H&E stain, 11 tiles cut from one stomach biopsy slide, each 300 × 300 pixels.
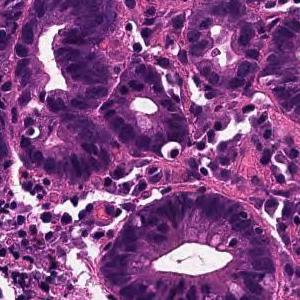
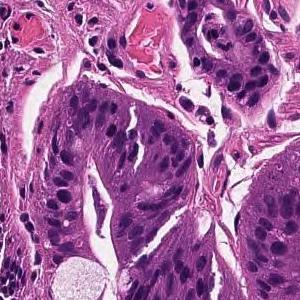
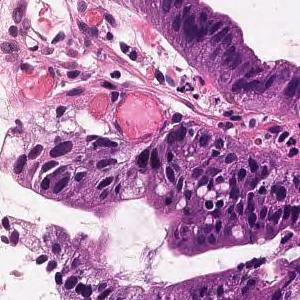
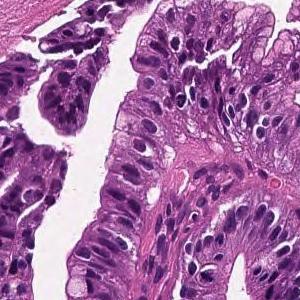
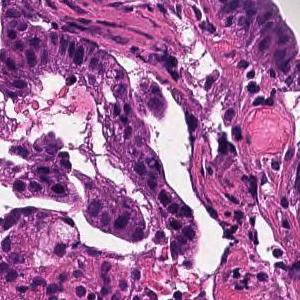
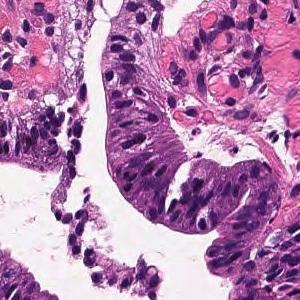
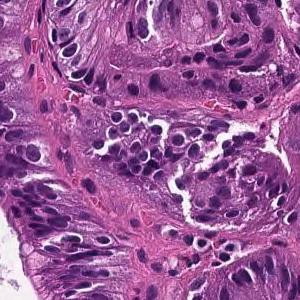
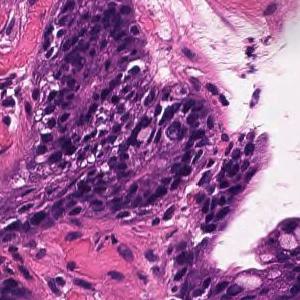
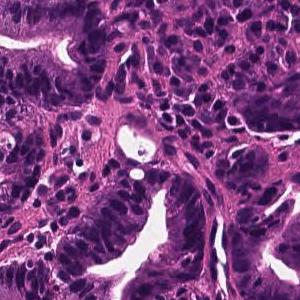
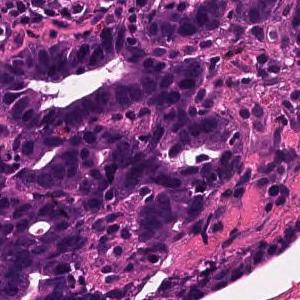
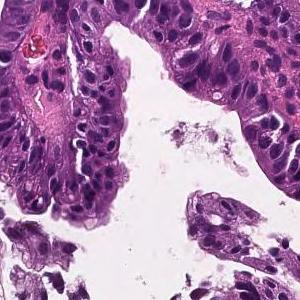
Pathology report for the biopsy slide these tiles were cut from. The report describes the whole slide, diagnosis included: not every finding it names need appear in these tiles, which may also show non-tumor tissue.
On the superficial epithelium, tumor tissue that infiltrates by forming medium-sized papillary or small irregular ducts is observed. Papillary adenocarcinoma
